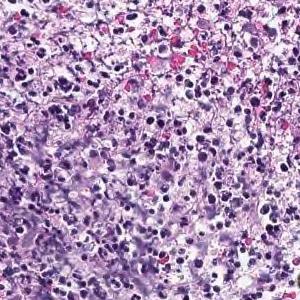
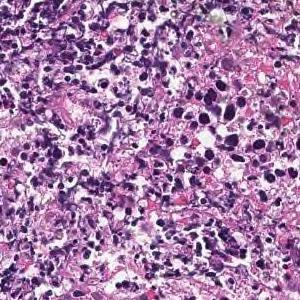
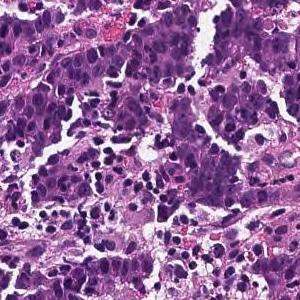
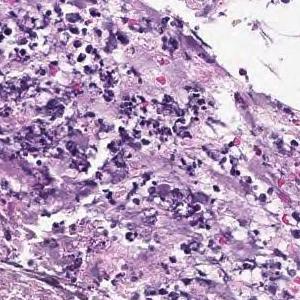
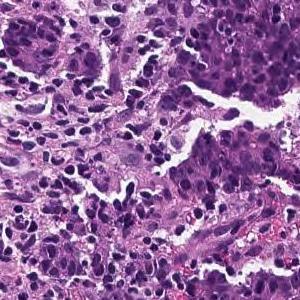
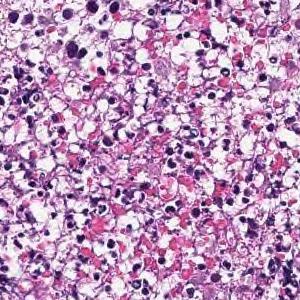
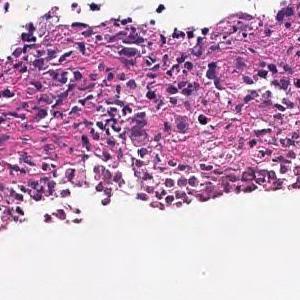
Scanned at ×20, 7 image tiles from a single gastric biopsy slide, 300 × 300 pixels each.
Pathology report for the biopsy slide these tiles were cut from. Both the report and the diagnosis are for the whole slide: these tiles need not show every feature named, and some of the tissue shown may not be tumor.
In the superficial epithelium, tumor tissue that invades by forming medium-sized to small, irregular ducts is observed. moderately differentiated tubular adenocarcinoma.
